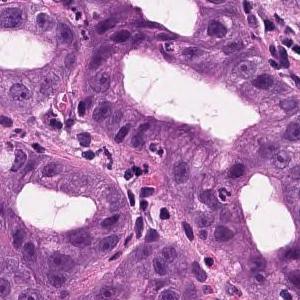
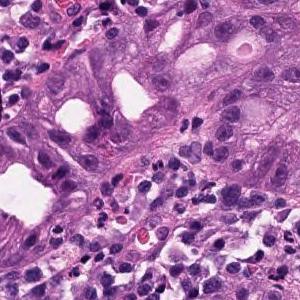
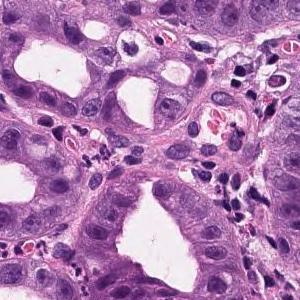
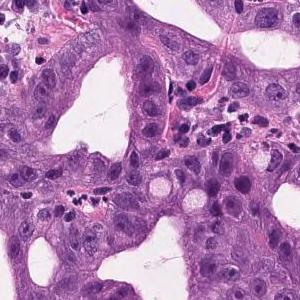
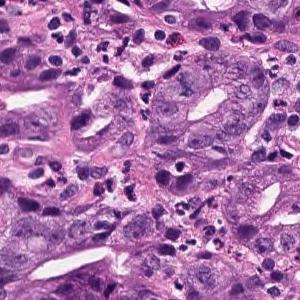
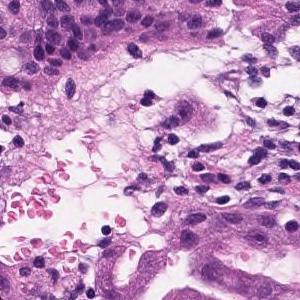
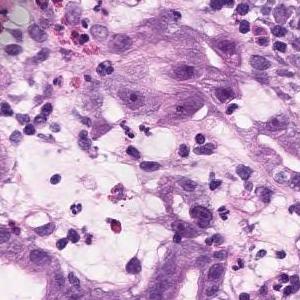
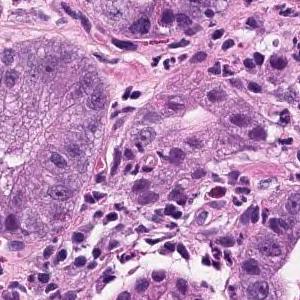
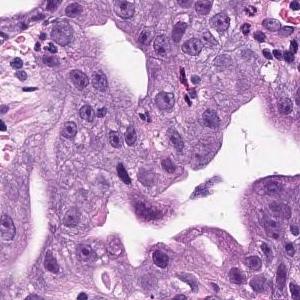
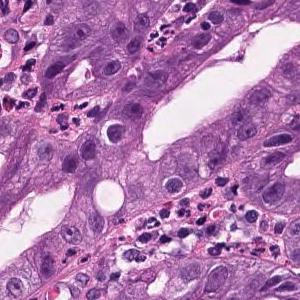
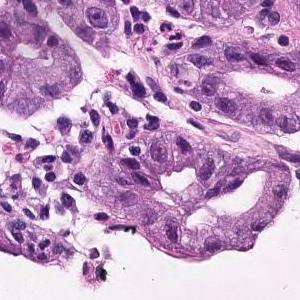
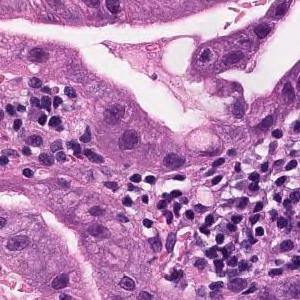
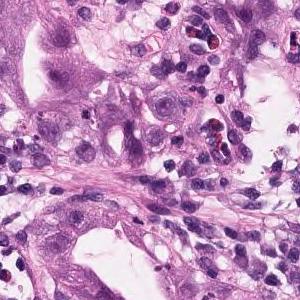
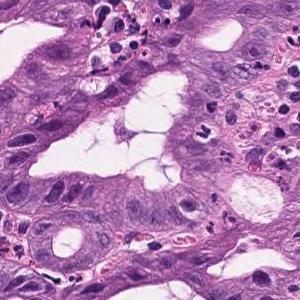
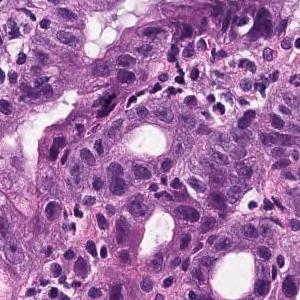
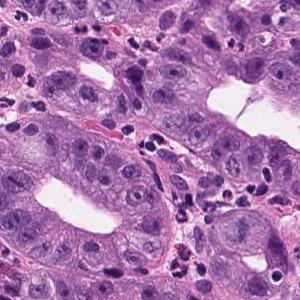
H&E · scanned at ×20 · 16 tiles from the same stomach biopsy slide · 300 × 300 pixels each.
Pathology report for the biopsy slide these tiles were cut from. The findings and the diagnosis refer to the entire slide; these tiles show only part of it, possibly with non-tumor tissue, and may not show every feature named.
In the superficial epithelium, tumor tissue that invades by forming medium-sized to small, irregular ducts is observed. Well to moderately differentiated adenocarcinoma (well differentiated tubular adenocarcinoma, moderately differentiated tubular adenocarcinoma).
Tumor subtype: well to moderately differentiated tubular adenocarcinoma.
